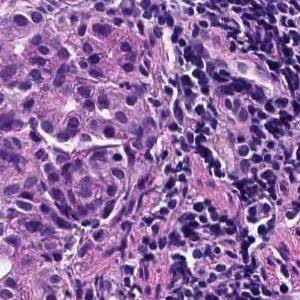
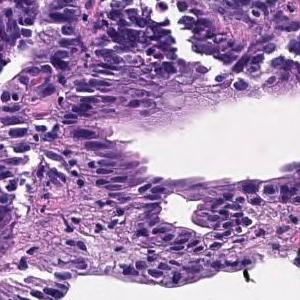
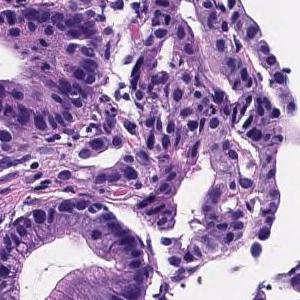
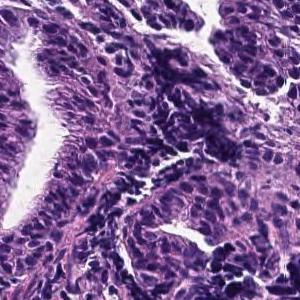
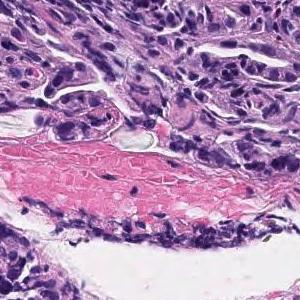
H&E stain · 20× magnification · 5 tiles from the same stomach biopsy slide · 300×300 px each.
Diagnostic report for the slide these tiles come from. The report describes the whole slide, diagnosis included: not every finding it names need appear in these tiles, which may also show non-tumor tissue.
The superficial tumors shows large papillary structures or large and small ducts and infiltrates. Papillary adenocarcinoma.
